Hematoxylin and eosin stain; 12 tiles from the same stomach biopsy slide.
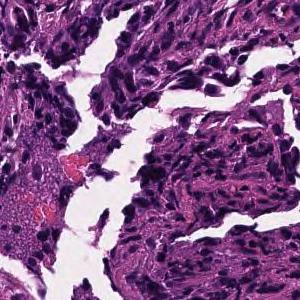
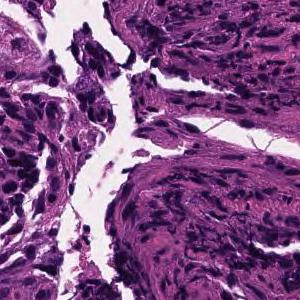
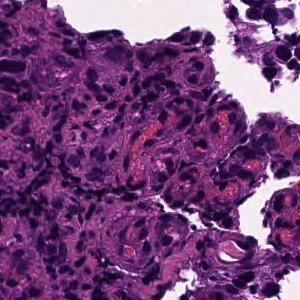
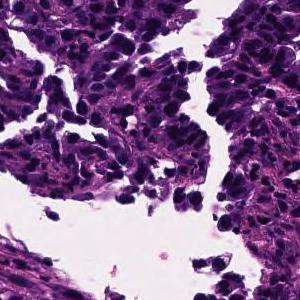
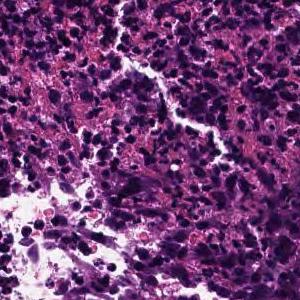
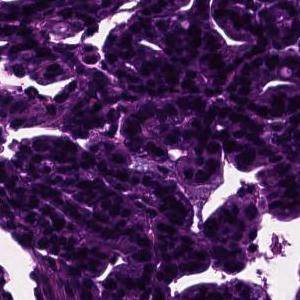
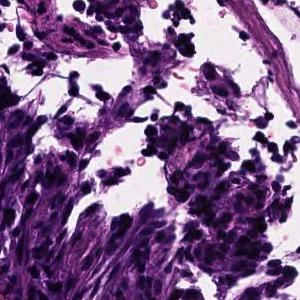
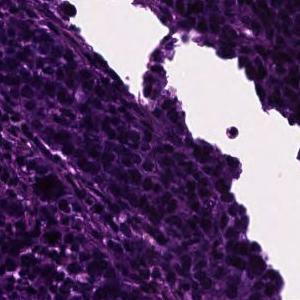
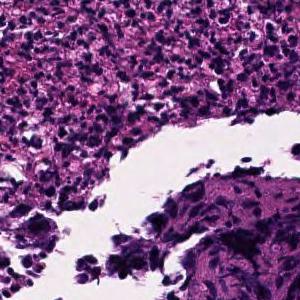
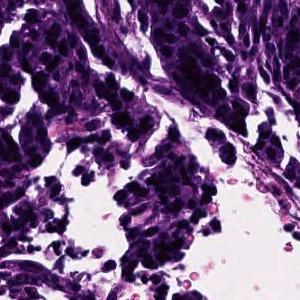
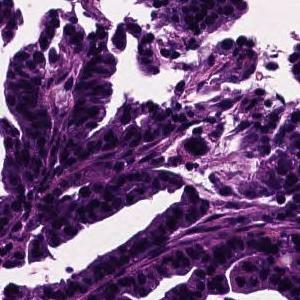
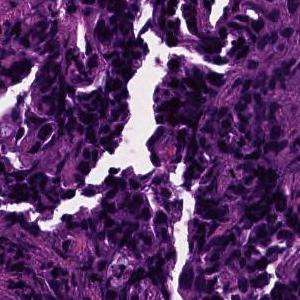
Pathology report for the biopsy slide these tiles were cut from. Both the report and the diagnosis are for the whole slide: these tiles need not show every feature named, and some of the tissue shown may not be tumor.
In the superficial epithelium, tumor tissue that invades by forming medium-sized to small, irregular ducts is observed. moderately differentiated tubular adenocarcinoma.
